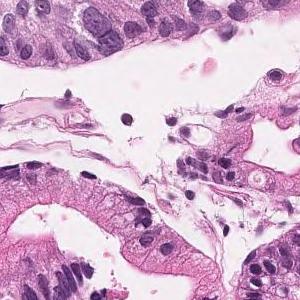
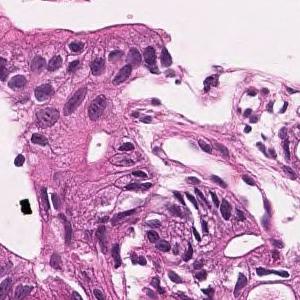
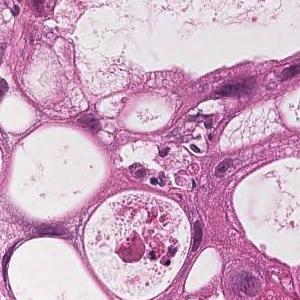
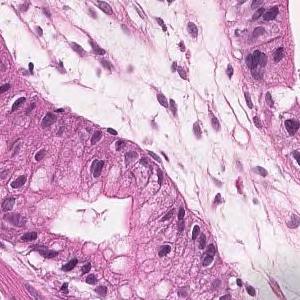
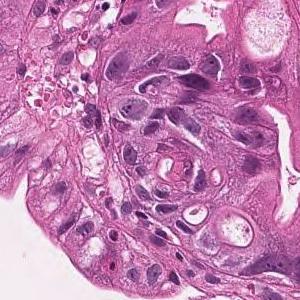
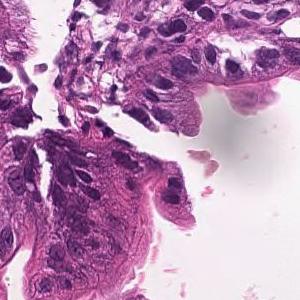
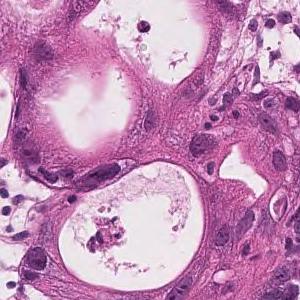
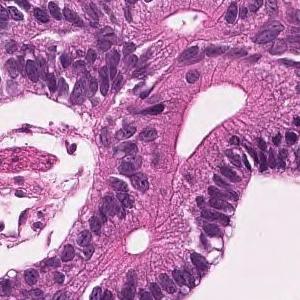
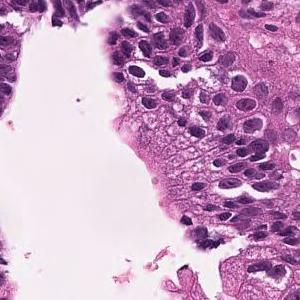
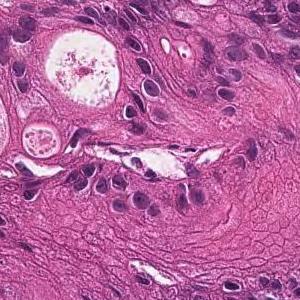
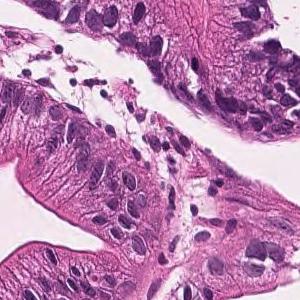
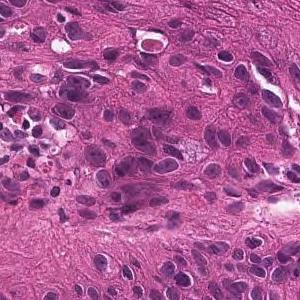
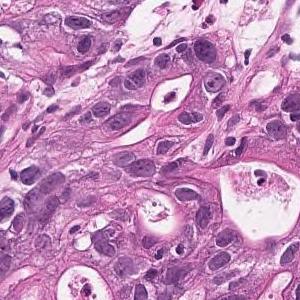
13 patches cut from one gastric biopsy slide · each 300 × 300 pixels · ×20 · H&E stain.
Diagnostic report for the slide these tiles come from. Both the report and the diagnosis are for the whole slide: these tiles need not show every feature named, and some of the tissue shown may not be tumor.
On the superficial epithelium, tumor tissue that infiltrates by forming medium-sized papillary or small irregular ducts is observed. Papillary adenocarcinoma
